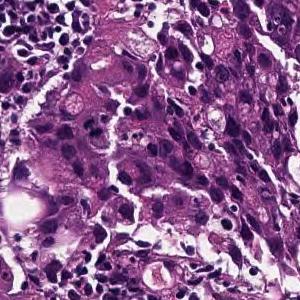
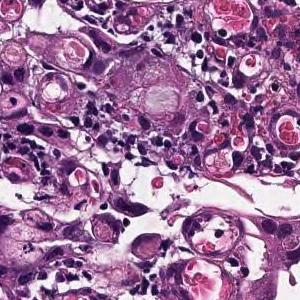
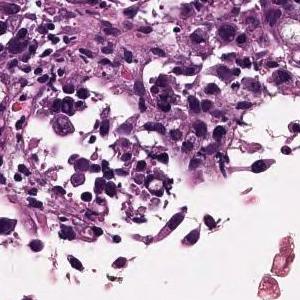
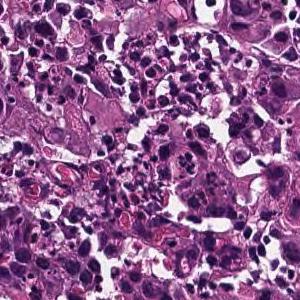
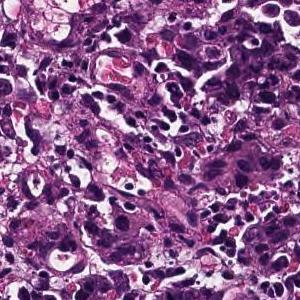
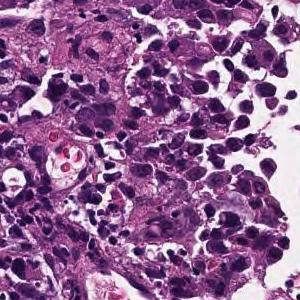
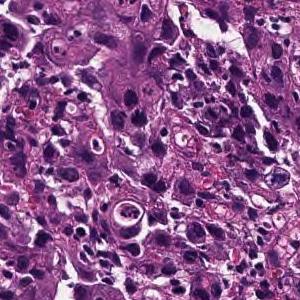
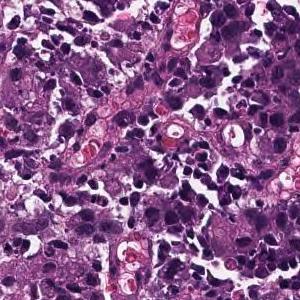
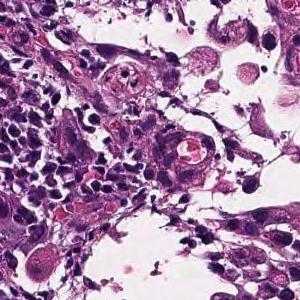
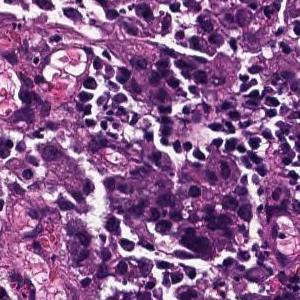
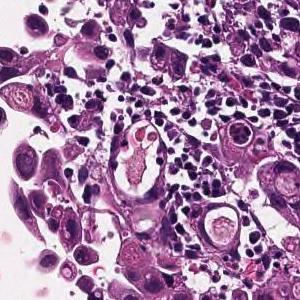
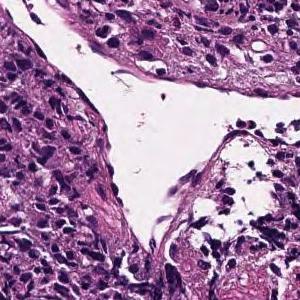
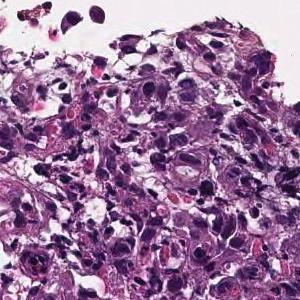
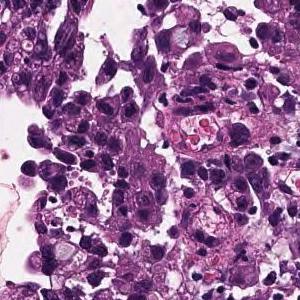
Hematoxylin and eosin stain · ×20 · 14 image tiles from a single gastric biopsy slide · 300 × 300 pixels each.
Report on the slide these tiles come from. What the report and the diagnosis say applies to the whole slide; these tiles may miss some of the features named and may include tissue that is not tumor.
The superficial epithelium shows a large sheet-like shape, and some tumor tissue infiltrates with small irregular ducts. Poorly differentiated adenocarcinoma, solid-type
Tumor subtype: poorly differentiated adenocarcinoma, solid type. This name comes from the Japanese Classification of Gastric Carcinoma; the WHO 2019 classification calls it tubular adenocarcinoma, poorly differentiated.
